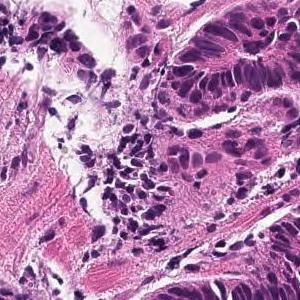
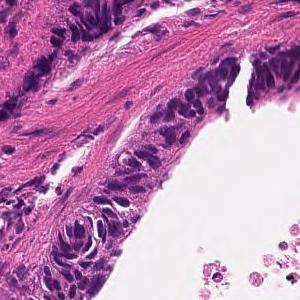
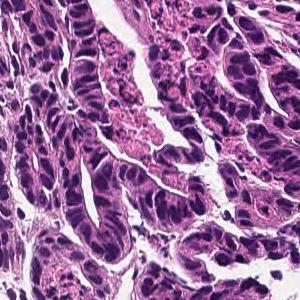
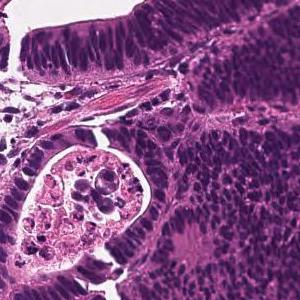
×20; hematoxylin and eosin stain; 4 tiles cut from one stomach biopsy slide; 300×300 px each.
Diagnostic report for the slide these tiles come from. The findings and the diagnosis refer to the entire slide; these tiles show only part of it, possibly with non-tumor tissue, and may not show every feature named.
From the superficial epithelium to the muscularis mucosae, tumor tissue consisting of medium-sized and irregular glandular ducts infiltrating is observed. Well differentiated tubular adenocarcinoma
